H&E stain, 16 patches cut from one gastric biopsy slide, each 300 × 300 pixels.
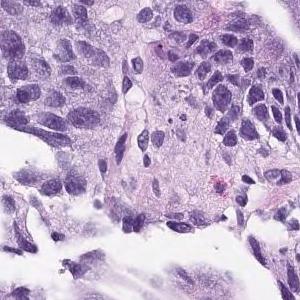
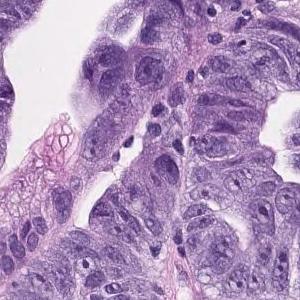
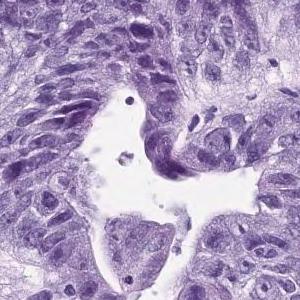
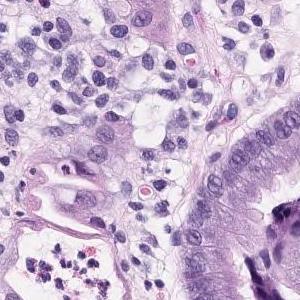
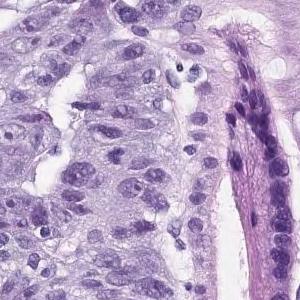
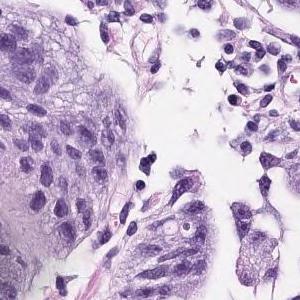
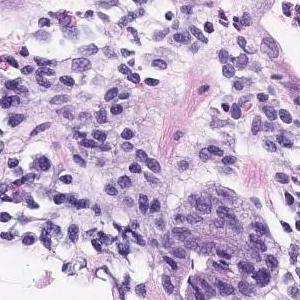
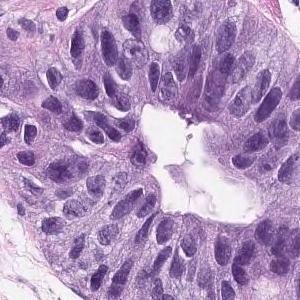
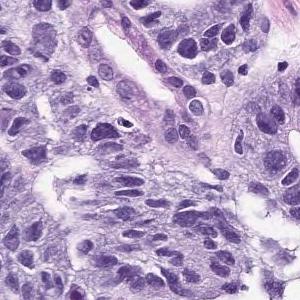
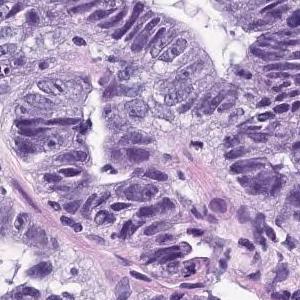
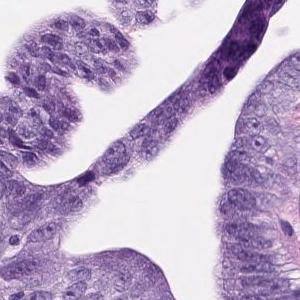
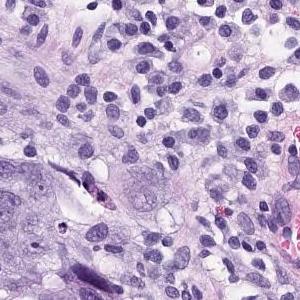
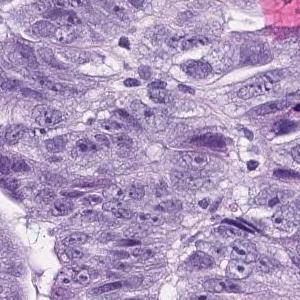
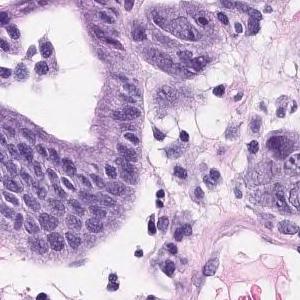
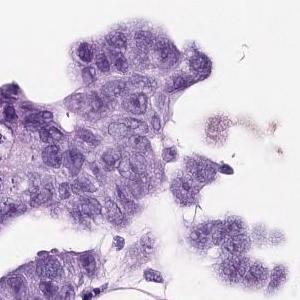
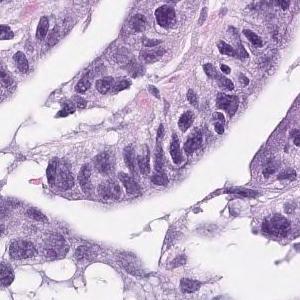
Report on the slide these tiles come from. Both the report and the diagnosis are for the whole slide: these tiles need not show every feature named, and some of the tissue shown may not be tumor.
In the superficial epithelium, tumor tissue that invades by forming medium-sized to small, irregular ducts is observed. Moderately differentiated adenocarcinoma.
Histological subtype: Moderately differentiated tubular adenocarcinoma.
